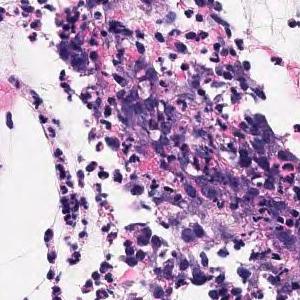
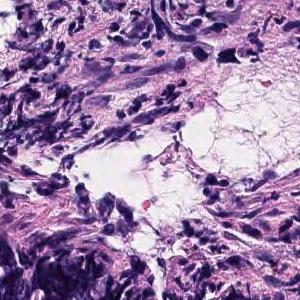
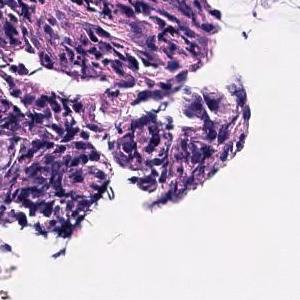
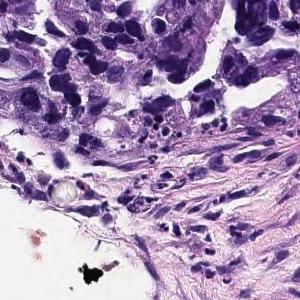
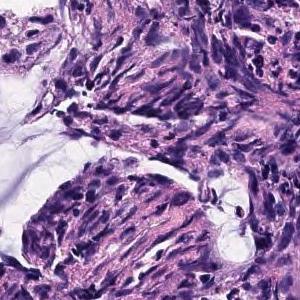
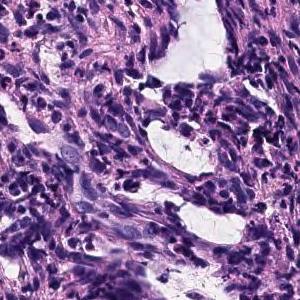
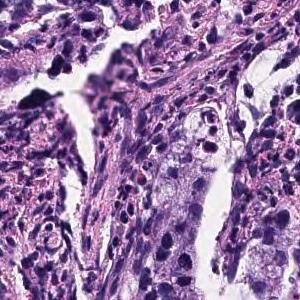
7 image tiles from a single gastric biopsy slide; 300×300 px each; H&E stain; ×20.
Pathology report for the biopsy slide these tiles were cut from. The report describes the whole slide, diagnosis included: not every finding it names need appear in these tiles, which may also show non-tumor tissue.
The superficial epithelium shows small cord-like infiltrating tumor tissue. Some part of neoplastic cells are signet ring cell type which show single invasion manner. Poorly differentiated adenocarcinoma, non-solid type.
"Non-solid type" is a category of the Japanese Classification of Gastric Carcinoma.
